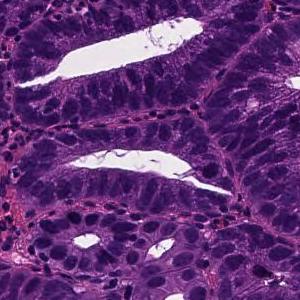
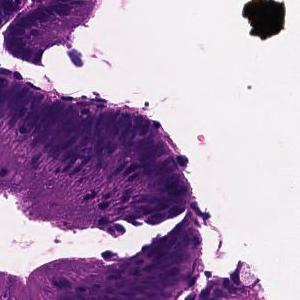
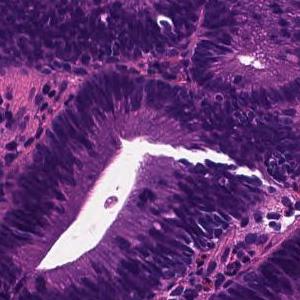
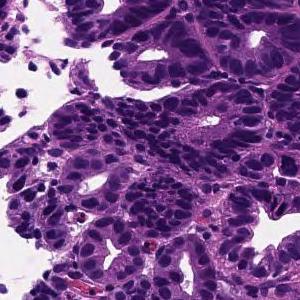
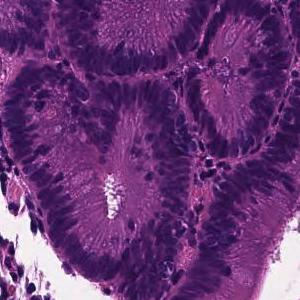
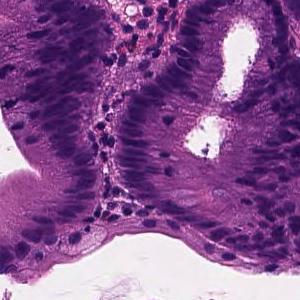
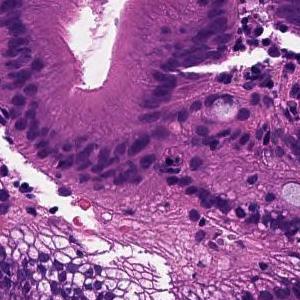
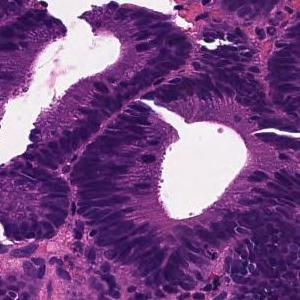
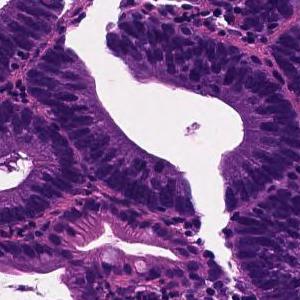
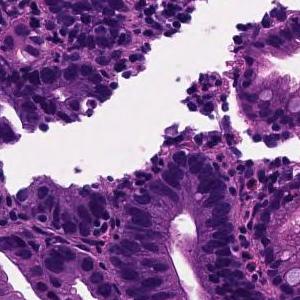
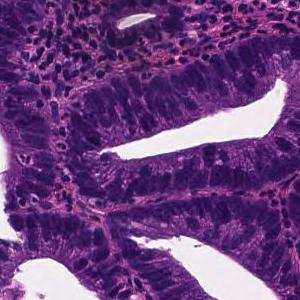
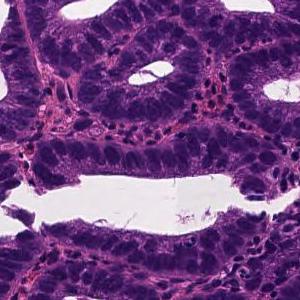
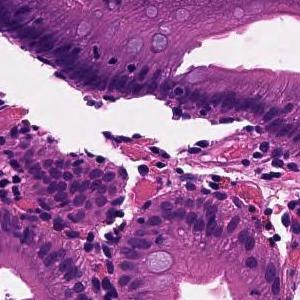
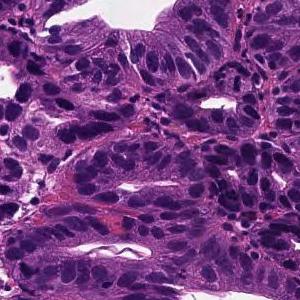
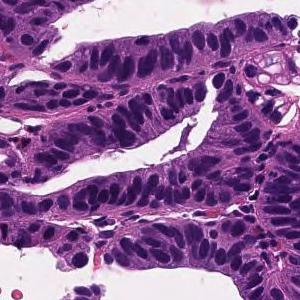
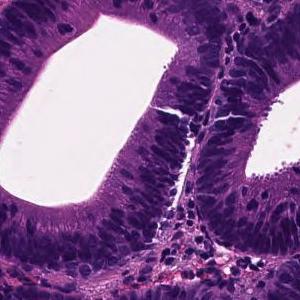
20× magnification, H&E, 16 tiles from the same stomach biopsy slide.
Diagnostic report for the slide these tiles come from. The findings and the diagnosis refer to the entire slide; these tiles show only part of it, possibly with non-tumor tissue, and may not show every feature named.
Tumor tissue in which medium to small irregular ducts infiltrate and proliferate in the submucosa can be seen in the epithelium. Well differentiated tubular adenocarcinoma
